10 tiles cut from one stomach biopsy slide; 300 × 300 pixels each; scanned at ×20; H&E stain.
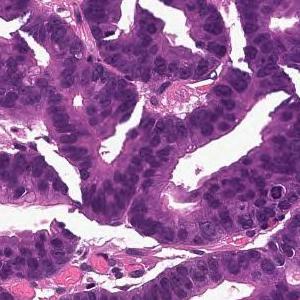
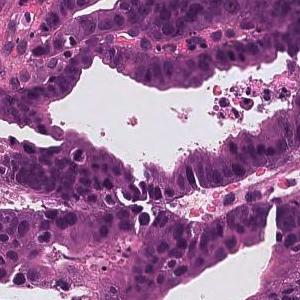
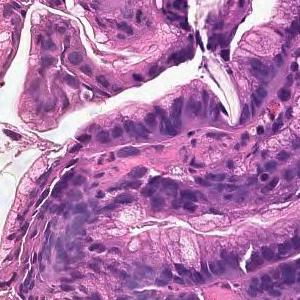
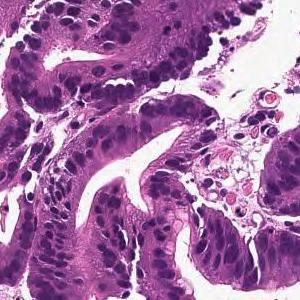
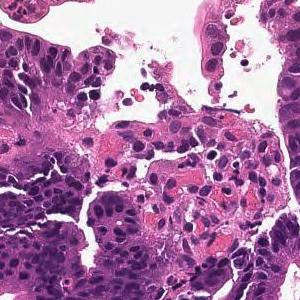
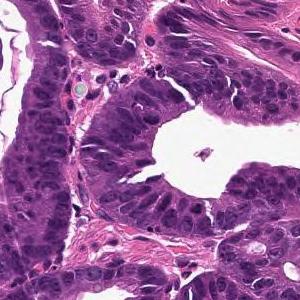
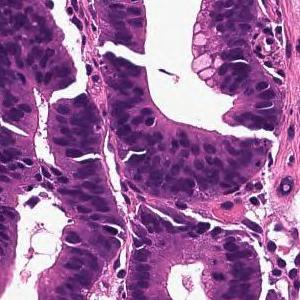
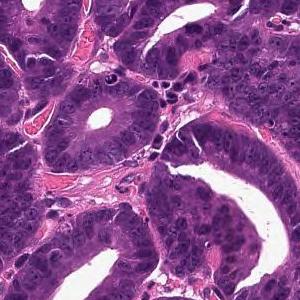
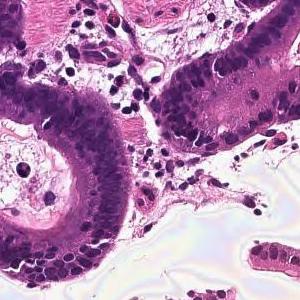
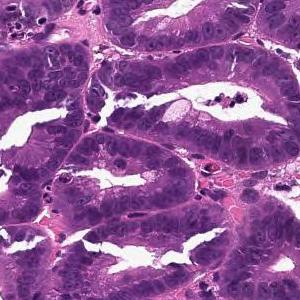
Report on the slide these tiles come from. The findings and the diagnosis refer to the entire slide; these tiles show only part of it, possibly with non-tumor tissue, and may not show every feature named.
From the superficial epithelium to the muscularis mucosae, tumor tissue consisting of medium-sized and irregular glandular ducts infiltrating is observed. Well differentiated tubular adenocarcinoma
